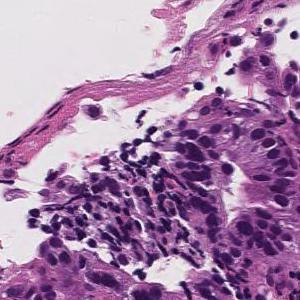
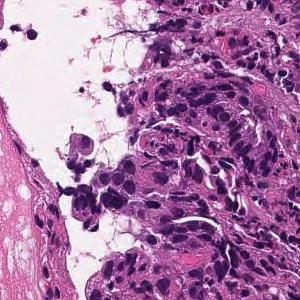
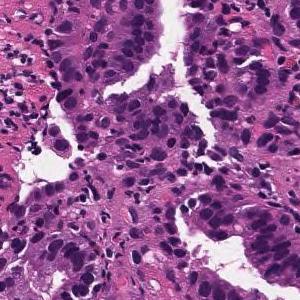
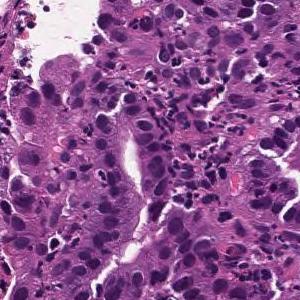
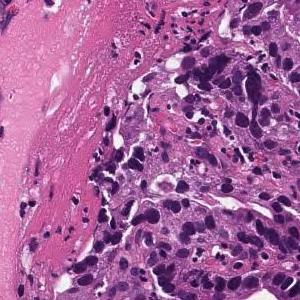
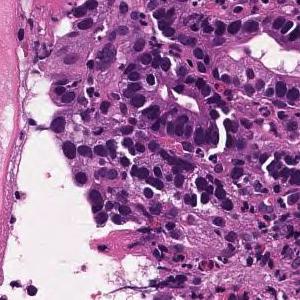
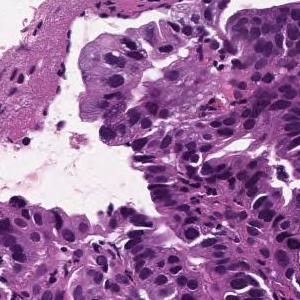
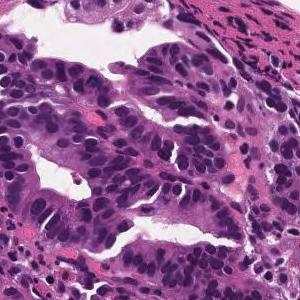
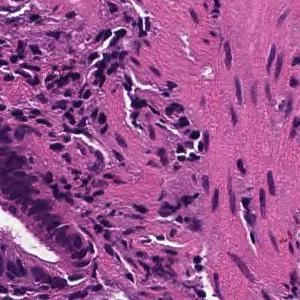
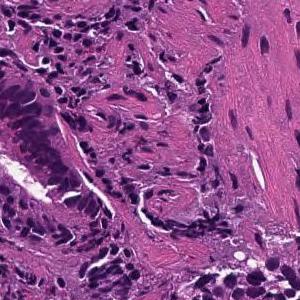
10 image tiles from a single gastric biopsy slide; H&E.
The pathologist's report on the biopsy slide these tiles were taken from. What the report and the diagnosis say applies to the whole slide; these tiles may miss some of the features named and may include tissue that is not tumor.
Tumor cells are large, highly columnar, large club-shaped nuclei, and are associated with chromatin aggregation. Papillary adenocarcinoma.
